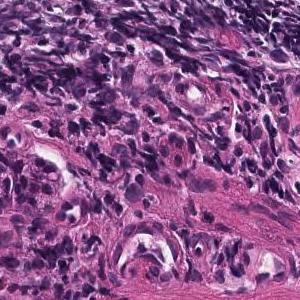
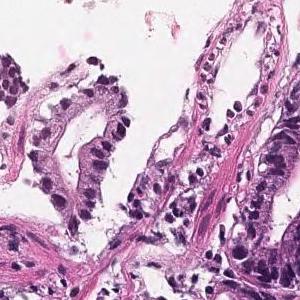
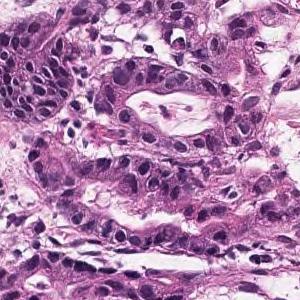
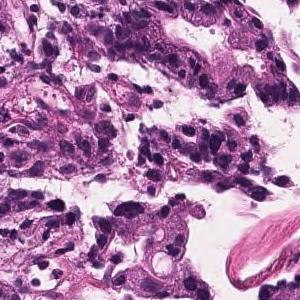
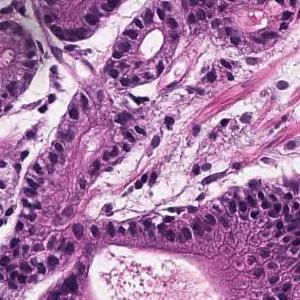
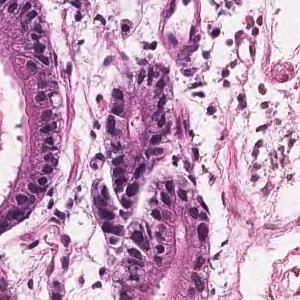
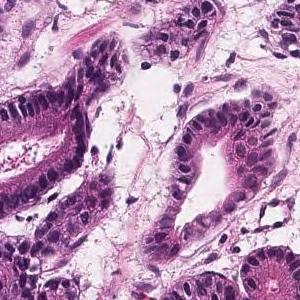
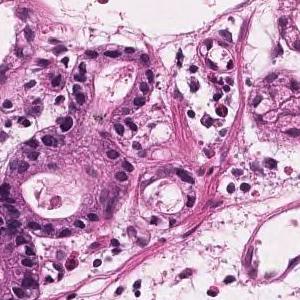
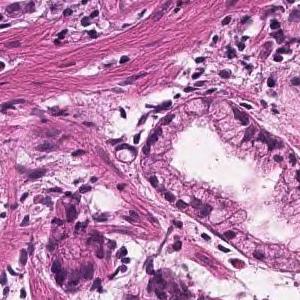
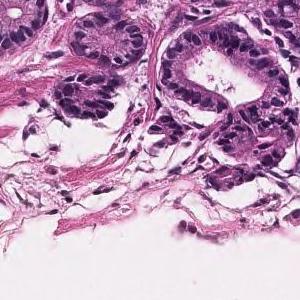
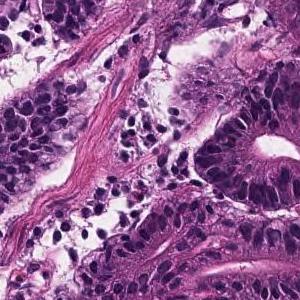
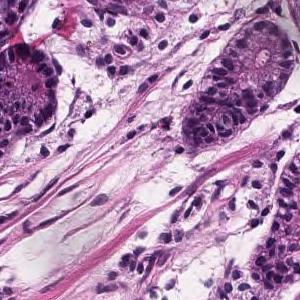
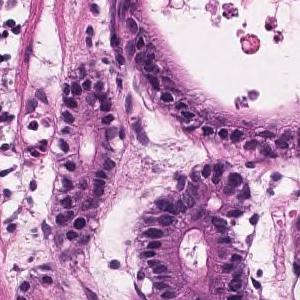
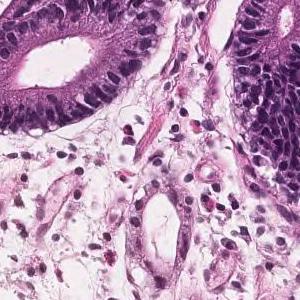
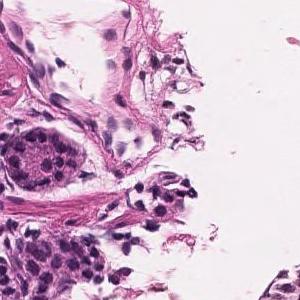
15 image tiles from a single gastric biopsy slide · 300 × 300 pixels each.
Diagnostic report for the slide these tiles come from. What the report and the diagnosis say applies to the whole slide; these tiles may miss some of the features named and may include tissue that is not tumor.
Tumor tissue with atypical epithelium showing irregular ductal or sieving ductal structure and proliferating is observed. Well to moderately differentiated tubular adenocarcinoma (well differentiated tubular adenocarcinoma-moderately differentiated tubular adenocarcinoma)
Tumor subtype: well to moderately differentiated tubular adenocarcinoma.
